16 tiles cut from one stomach biopsy slide, 300 × 300 pixels each, hematoxylin and eosin stain, scanned at ×20.
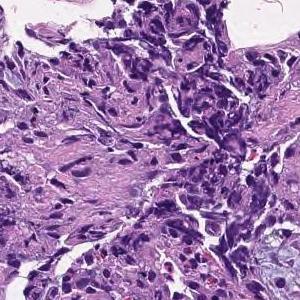
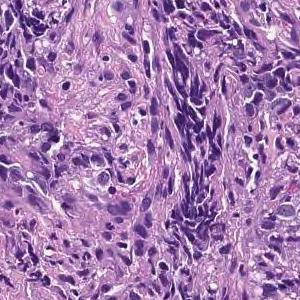
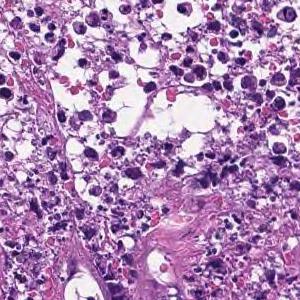
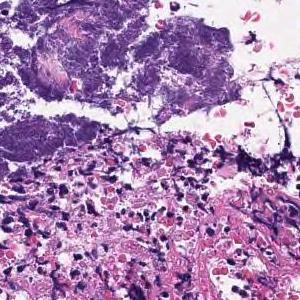
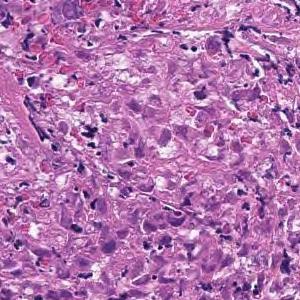
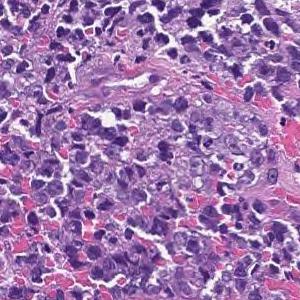
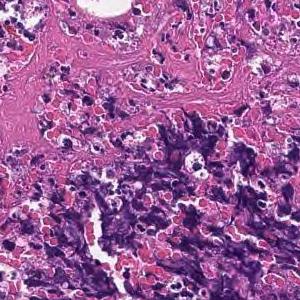
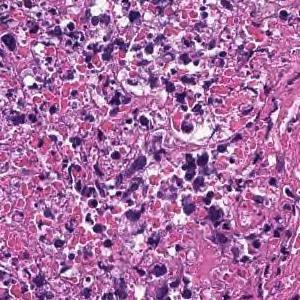
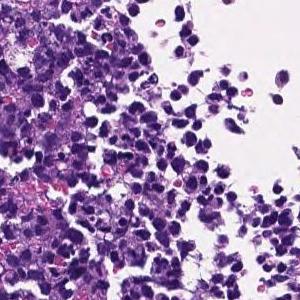
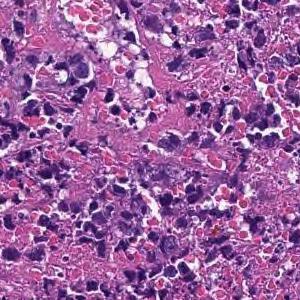
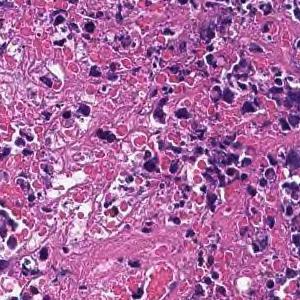
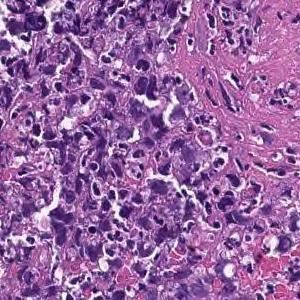
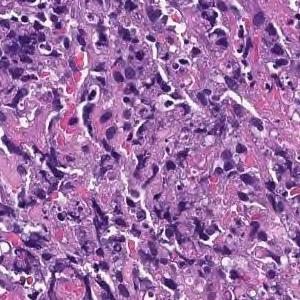
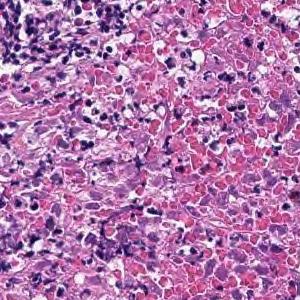
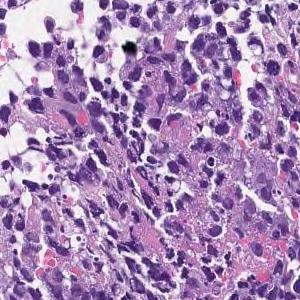
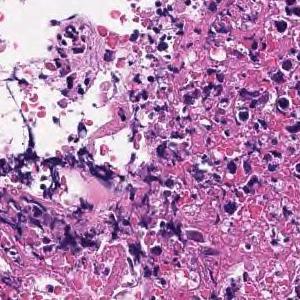
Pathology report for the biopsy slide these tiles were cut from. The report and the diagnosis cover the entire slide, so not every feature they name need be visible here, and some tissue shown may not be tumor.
Most are composed of coagulative necrotic tissue, but some show a large sheet-like shape, and some show tumor tissue infiltrating with a small cord-like structure. Poorly differentiated adenocarcinoma, solid-type
Classified as poorly differentiated adenocarcinoma, solid type, a category of the Japanese Classification of Gastric Carcinoma; in the WHO 2019 classification it is tubular adenocarcinoma, poorly differentiated.
